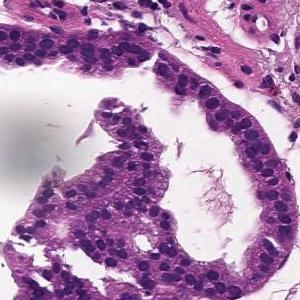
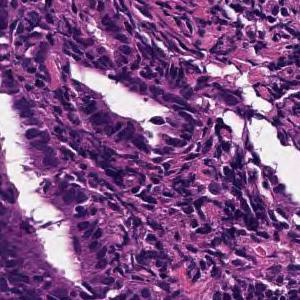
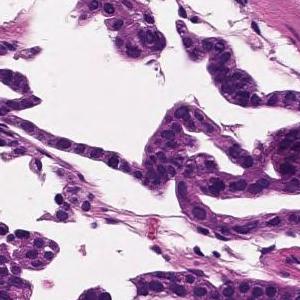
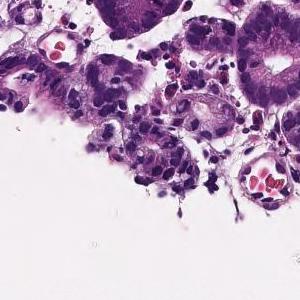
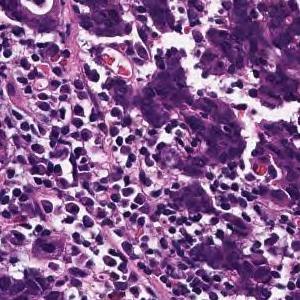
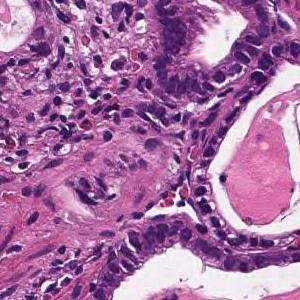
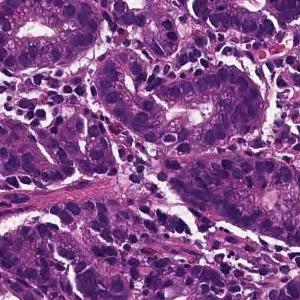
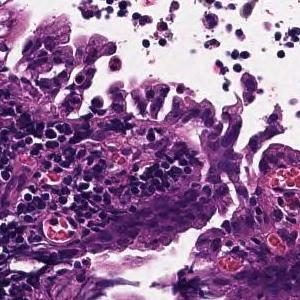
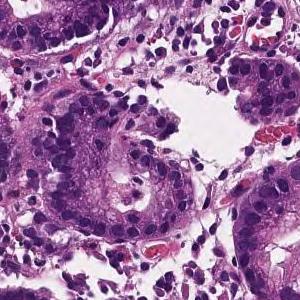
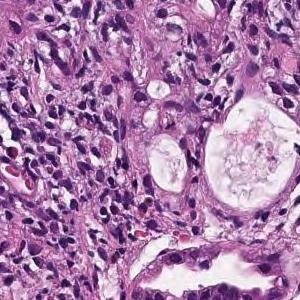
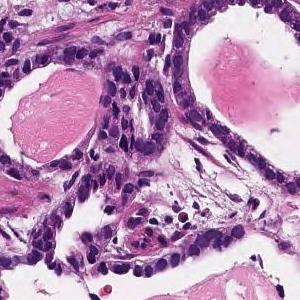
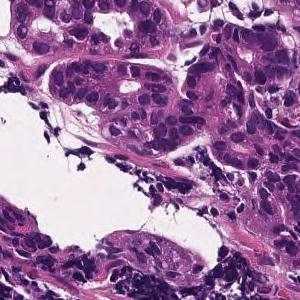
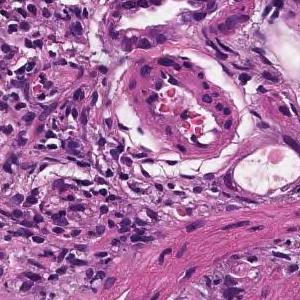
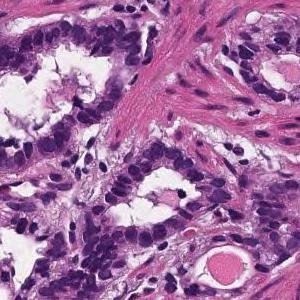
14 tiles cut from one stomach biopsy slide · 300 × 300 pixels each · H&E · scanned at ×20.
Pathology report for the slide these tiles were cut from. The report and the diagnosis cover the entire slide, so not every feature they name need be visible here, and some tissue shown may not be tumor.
Tumor tissue consisting of medium-sized, cord-like or irregular glandular infiltration is observed in the superficial epithelium. Poorly differentiated adenocarcinoma, non-solid type or moderately differentiated tubular adenocarcinoma
Histologic type: Moderately to poorly differentiated adenocarcinoma.
The non-solid type named here is a Japanese Classification of Gastric Carcinoma category.
